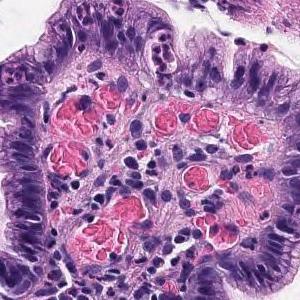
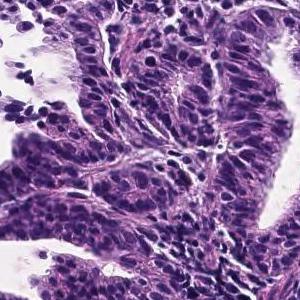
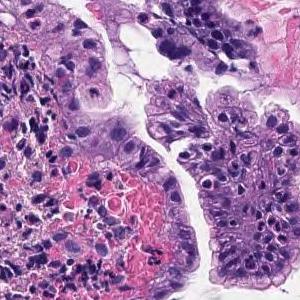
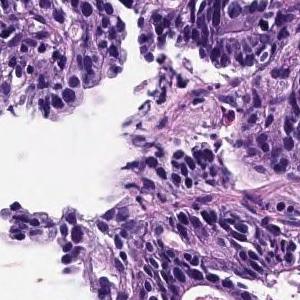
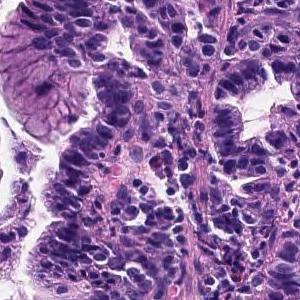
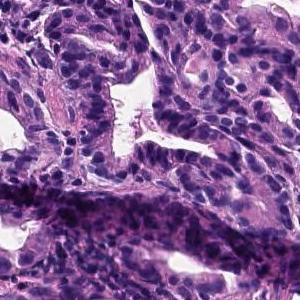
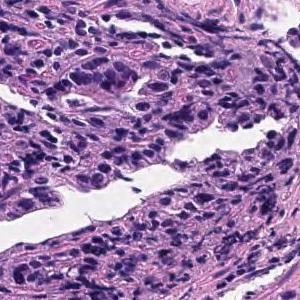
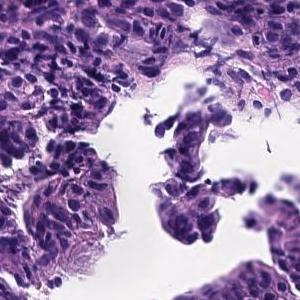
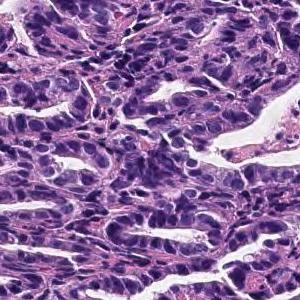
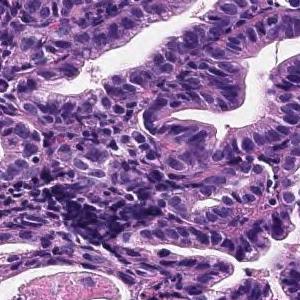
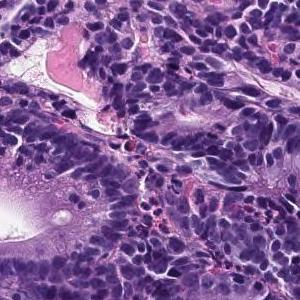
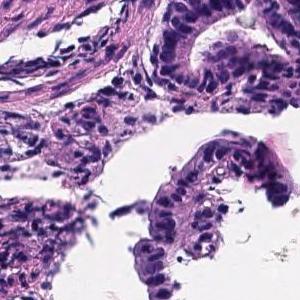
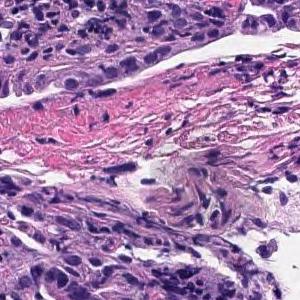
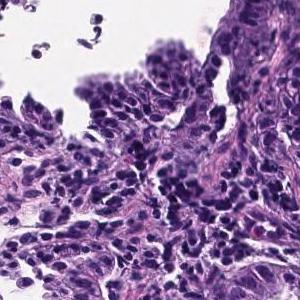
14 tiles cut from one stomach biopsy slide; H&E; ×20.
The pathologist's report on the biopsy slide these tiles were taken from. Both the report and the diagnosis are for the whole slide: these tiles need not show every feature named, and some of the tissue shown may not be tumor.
The superficial tumors shows large papillary structures or large and small ducts and infiltrates. Papillary adenocarcinoma.
